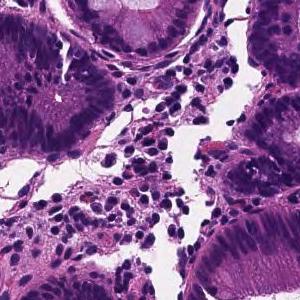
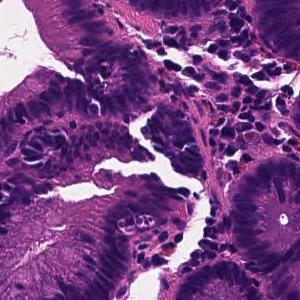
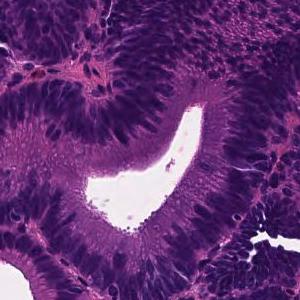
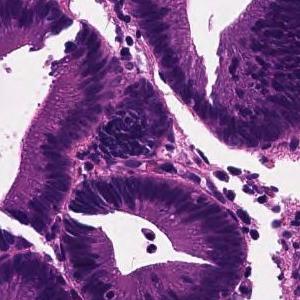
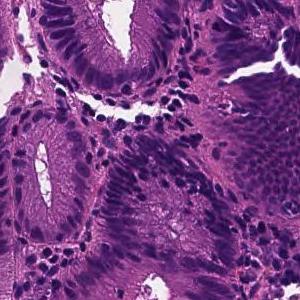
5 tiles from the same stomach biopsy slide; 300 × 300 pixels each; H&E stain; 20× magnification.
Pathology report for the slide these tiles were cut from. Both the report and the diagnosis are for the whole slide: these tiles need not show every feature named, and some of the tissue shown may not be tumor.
Tumor tissue in which medium to small irregular ducts infiltrate and proliferate in the submucosa can be seen in the epithelium. Well differentiated tubular adenocarcinoma
